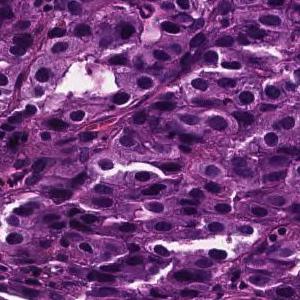
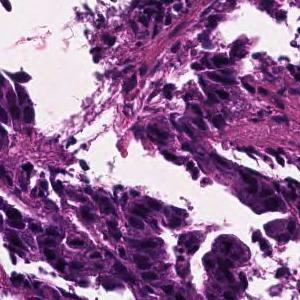
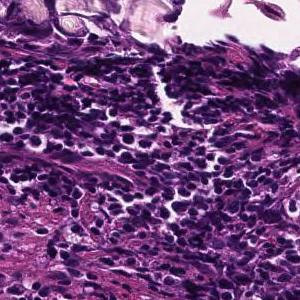
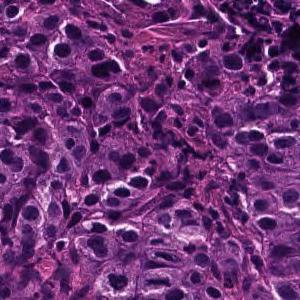
4 tiles from the same stomach biopsy slide; each 300 × 300 pixels; H&E stain.
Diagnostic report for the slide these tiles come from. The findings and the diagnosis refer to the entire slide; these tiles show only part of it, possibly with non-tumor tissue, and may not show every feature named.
Tumor tissue consisting of medium-sized, cord-like or irregular glandular fusion and infiltration is observed in the superficial epithelium. Poorly differentiated adenocarcinoma, non-solid type or moderately differentiated tubular adenocarcinoma
Subtype: Moderately to poorly differentiated adenocarcinoma.
The non-solid type named here is a Japanese Classification of Gastric Carcinoma category.
